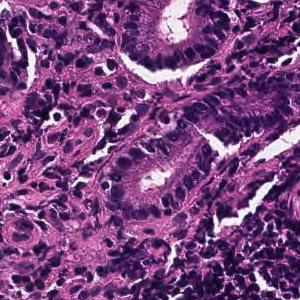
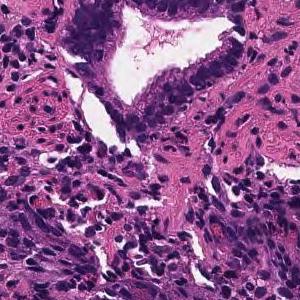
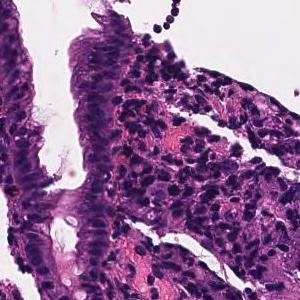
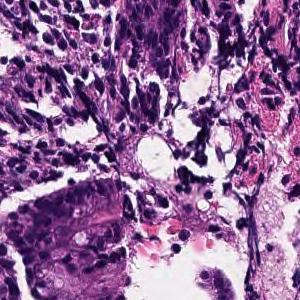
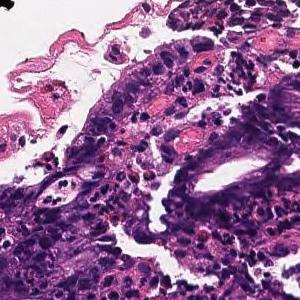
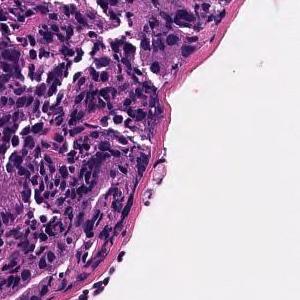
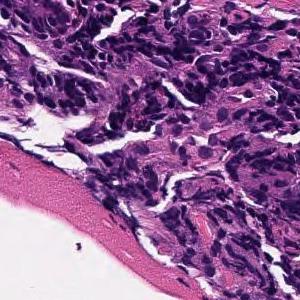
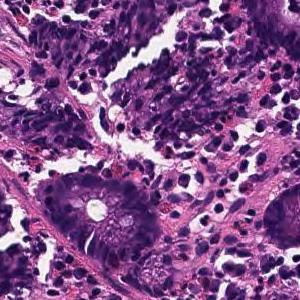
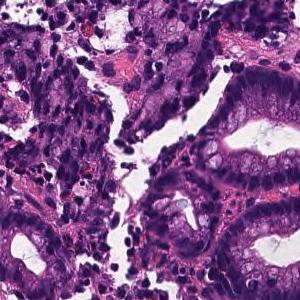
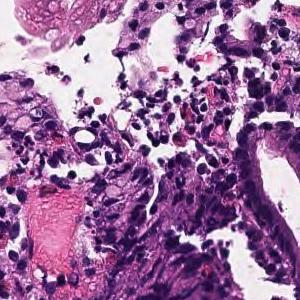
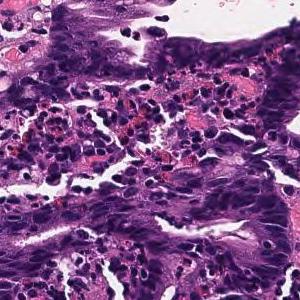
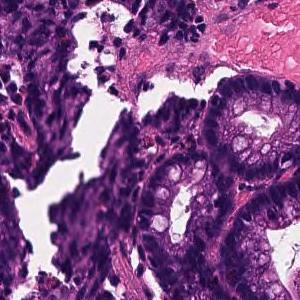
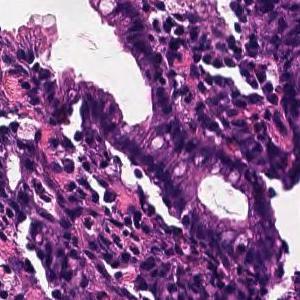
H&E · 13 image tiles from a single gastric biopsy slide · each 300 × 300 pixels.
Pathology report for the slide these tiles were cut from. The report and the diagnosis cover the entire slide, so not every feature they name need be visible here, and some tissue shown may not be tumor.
In the superficial epithelium, tumor tissue that invades by forming medium-sized to small, irregular ducts is observed. moderately differentiated tubular adenocarcinoma.
